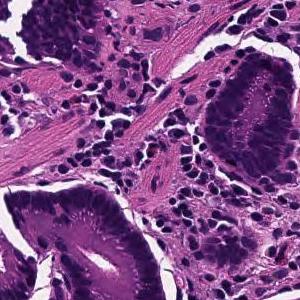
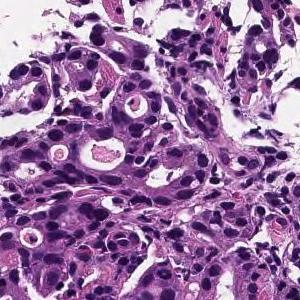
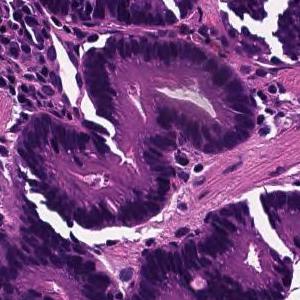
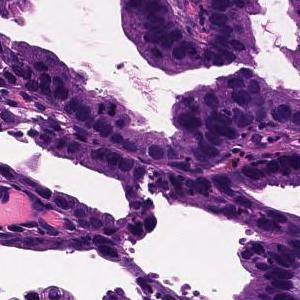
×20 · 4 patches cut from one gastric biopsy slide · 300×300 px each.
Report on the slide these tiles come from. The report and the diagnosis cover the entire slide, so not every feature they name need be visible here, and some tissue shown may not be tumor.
On the superficial epithelium, tumor tissue is found in which medium-sized irregular gland ducts fuse with each other and infiltrate. moderately differentiated tubular adenocarcinoma
